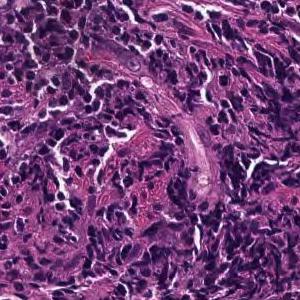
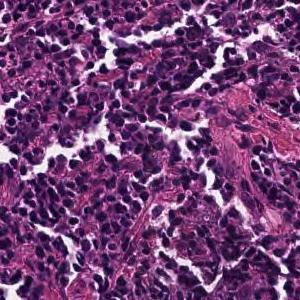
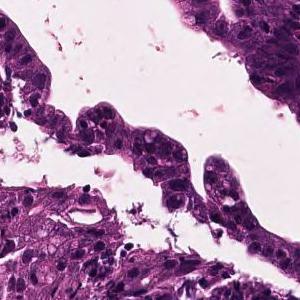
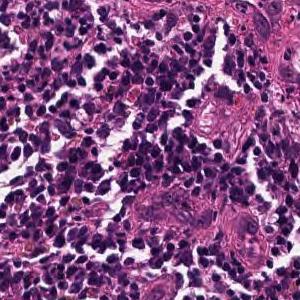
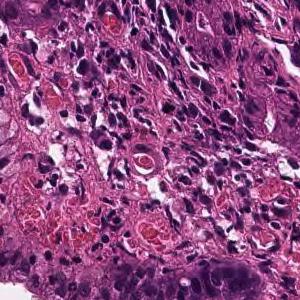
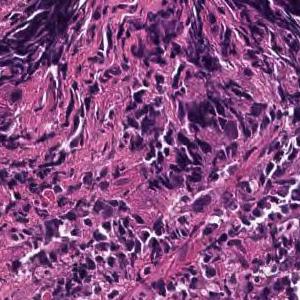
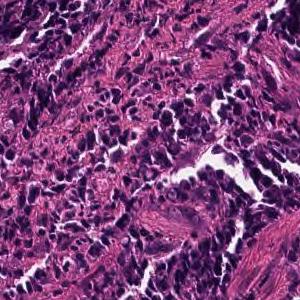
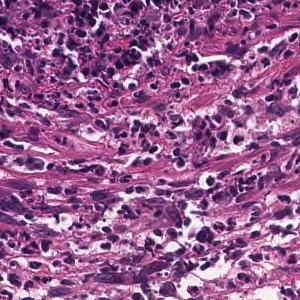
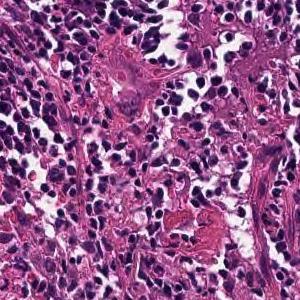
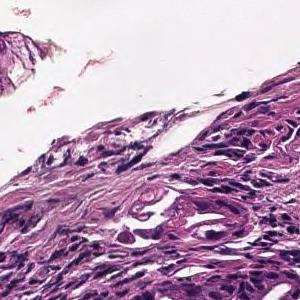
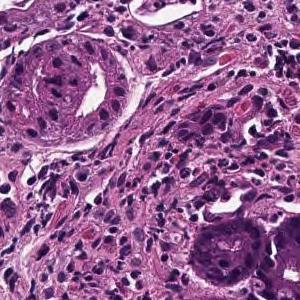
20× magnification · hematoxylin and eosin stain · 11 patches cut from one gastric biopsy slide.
The pathologist's report on the biopsy slide these tiles were taken from. The report and the diagnosis describe the slide as a whole, so these tiles may not show every feature named and may include non-tumor tissue.
Tumor tissue consisting of cord-like or small, irregular glandular ducts fused and infiltrated is observed in the superficial epithelium. Poorly differentiated adenocarcinoma, non-solid type
The term "non-solid type" comes from the Japanese Classification of Gastric Carcinoma.
